11 tiles cut from one stomach biopsy slide · H&E.
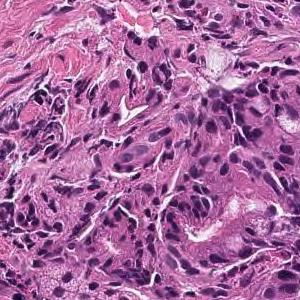
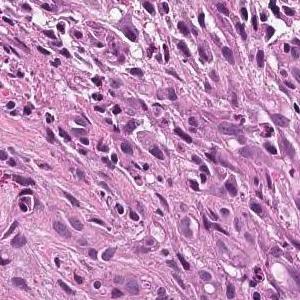
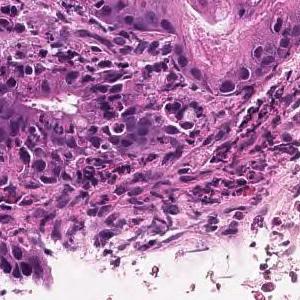
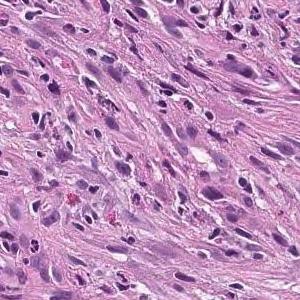
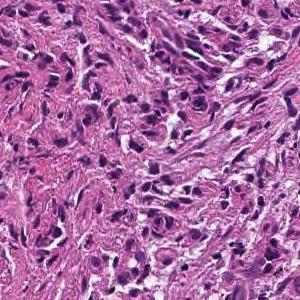
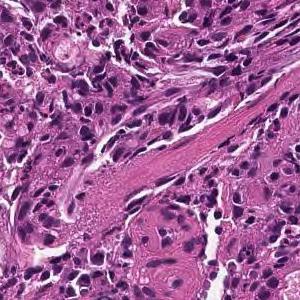
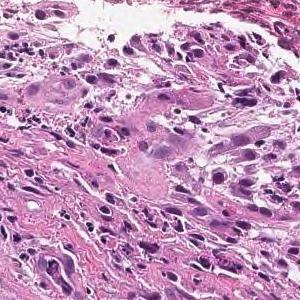
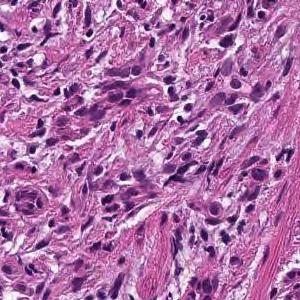
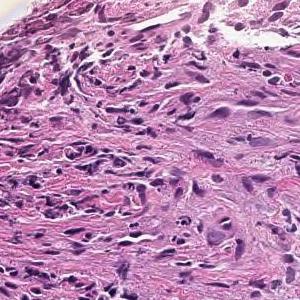
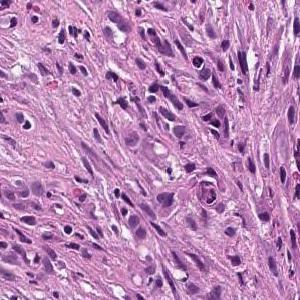
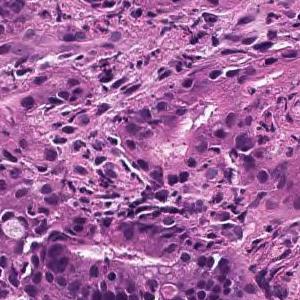
Report on the slide these tiles come from. The findings and the diagnosis refer to the entire slide; these tiles show only part of it, possibly with non-tumor tissue, and may not show every feature named.
In the superficial epithelium, tumor tissue that invades by forming medium-sized to small, irregular ducts is observed. moderately differentiated tubular adenocarcinoma.
